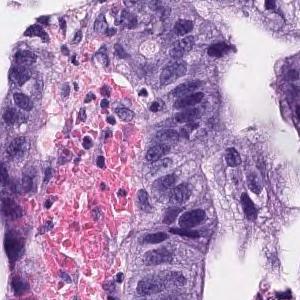
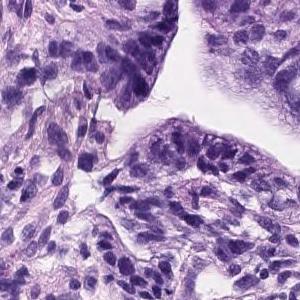
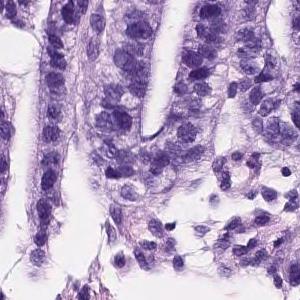
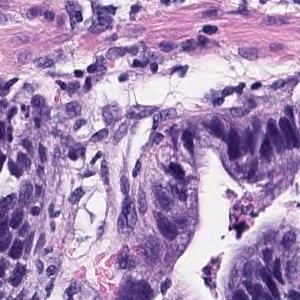
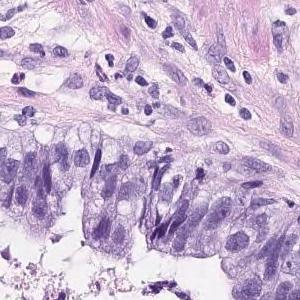
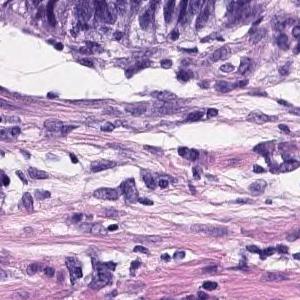
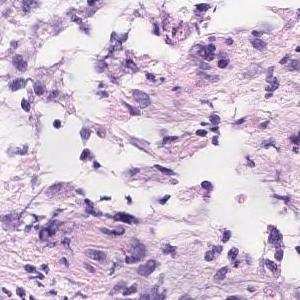
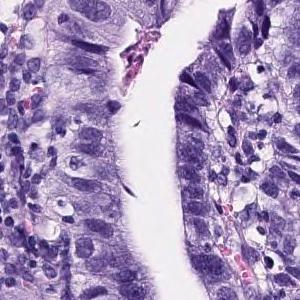
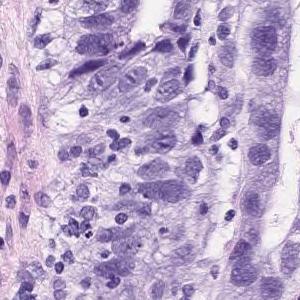
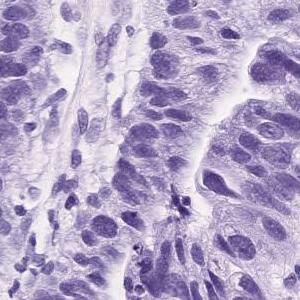
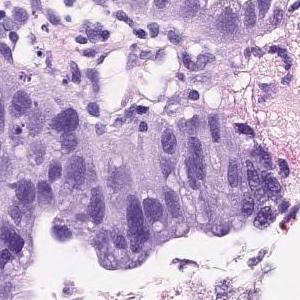
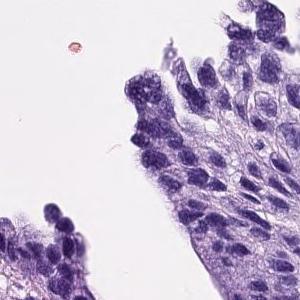
H&E stain; scanned at ×20; 12 tiles from the same stomach biopsy slide.
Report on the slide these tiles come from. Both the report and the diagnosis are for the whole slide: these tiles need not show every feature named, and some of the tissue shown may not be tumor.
On the superficial epithelium, tumor tissue consisting of medium to small irregular tubules partially fused and proliferated is observed. moderately differentiated tubular adenocarcinoma
